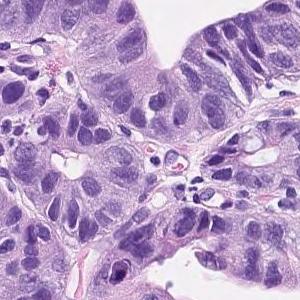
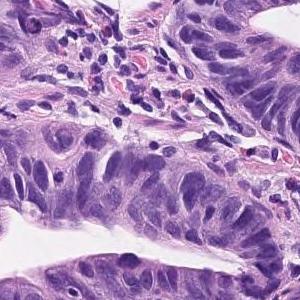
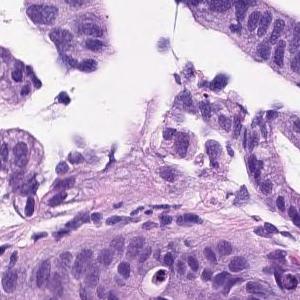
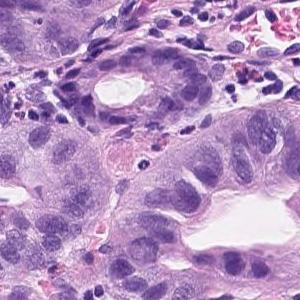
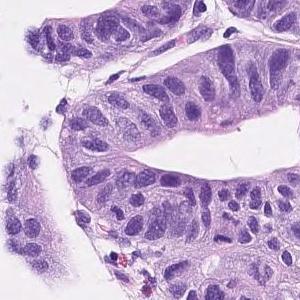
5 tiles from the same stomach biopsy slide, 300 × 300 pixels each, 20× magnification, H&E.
Pathology report for the biopsy slide these tiles were cut from. Both the report and the diagnosis are for the whole slide: these tiles need not show every feature named, and some of the tissue shown may not be tumor.
Tumor tissue consisting of medium-sized and irregular ducts is observed infiltrating in the superficial epithelium. Tumor cells are highly columnar, with nuclei aligned basolaterally and polarized. Well differentiated tubular adenocarcinoma.
